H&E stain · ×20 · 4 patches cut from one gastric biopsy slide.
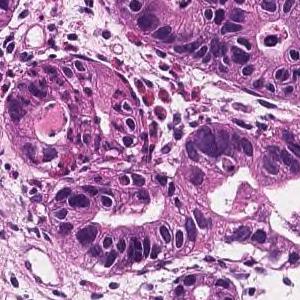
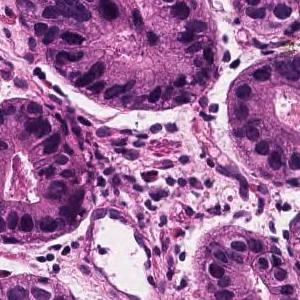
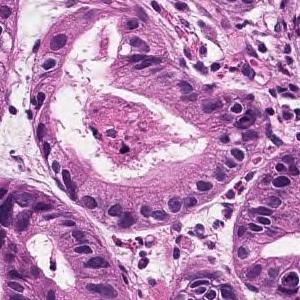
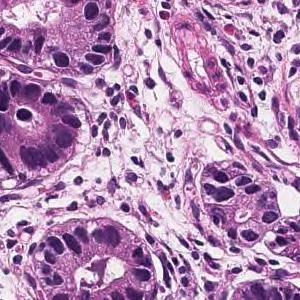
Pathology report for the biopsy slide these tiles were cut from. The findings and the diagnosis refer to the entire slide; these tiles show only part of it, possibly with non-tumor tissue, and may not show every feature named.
Tumor tissue in which medium to small irregular ducts infiltrate and proliferate in the submucosa can be seen in the epithelium. Well differentiated tubular adenocarcinoma
